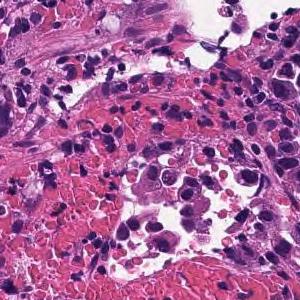
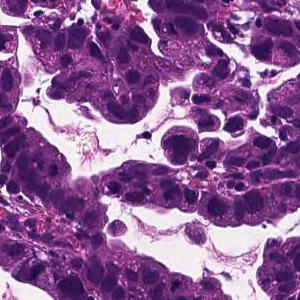
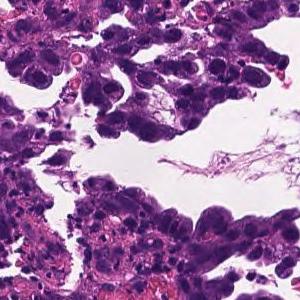
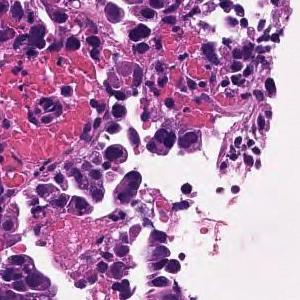
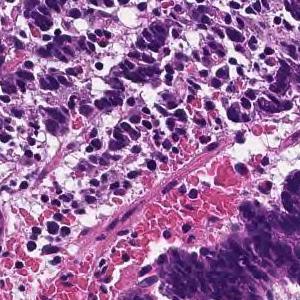
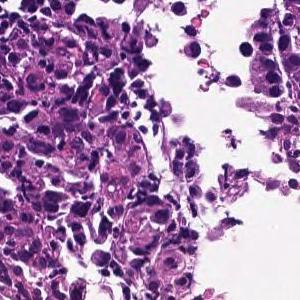
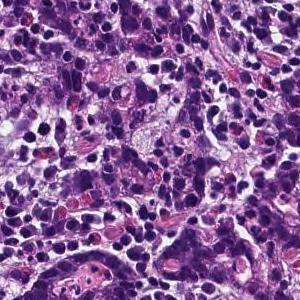
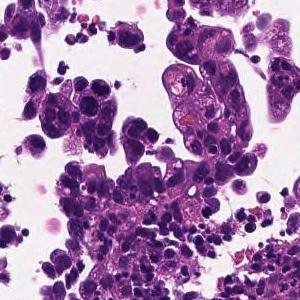
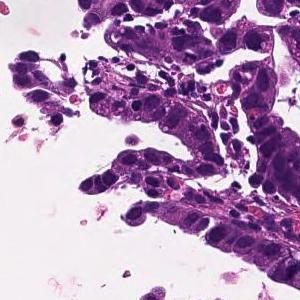
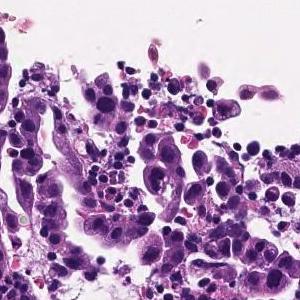
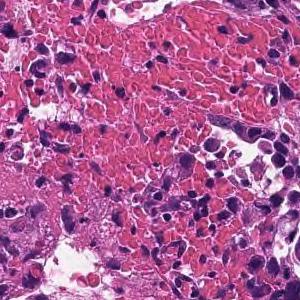
11 tiles cut from one stomach biopsy slide · 300×300 px each · 20× magnification · H&E stain.
The pathologist's report on the biopsy slide these tiles were taken from. The report describes the whole slide, diagnosis included: not every finding it names need appear in these tiles, which may also show non-tumor tissue.
In the superficial epithelium, tumor tissue that invades by forming medium-sized to small, irregular ducts is observed. moderately differentiated tubular adenocarcinoma.
